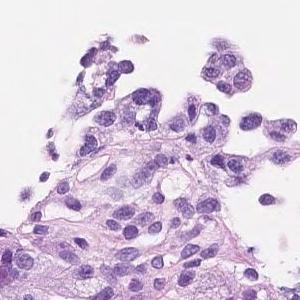
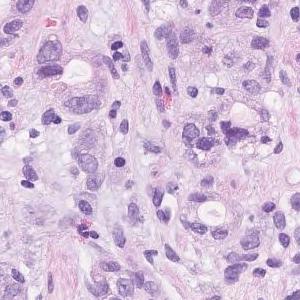
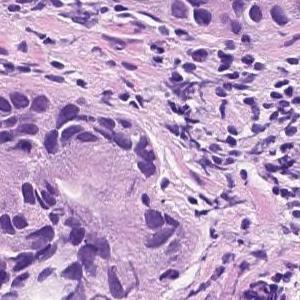
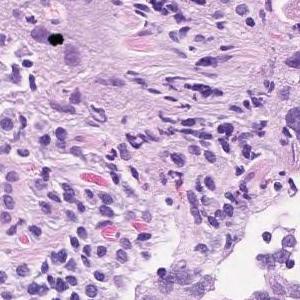
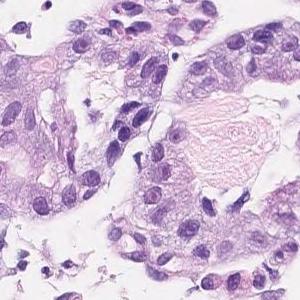
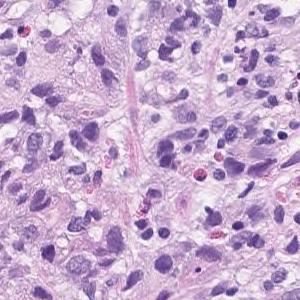
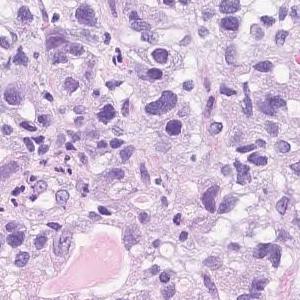
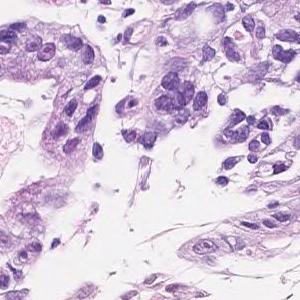
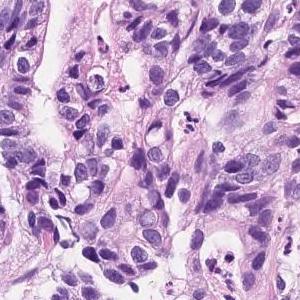
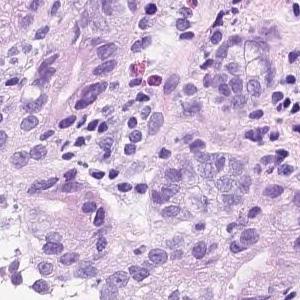
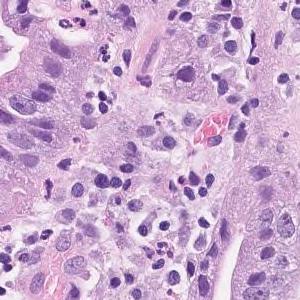
11 tiles cut from one stomach biopsy slide; hematoxylin and eosin stain; 20× magnification.
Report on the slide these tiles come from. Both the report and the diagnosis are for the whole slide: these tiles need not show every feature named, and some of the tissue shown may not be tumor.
In the superficial epithelium, tumor tissue that invades by forming medium-sized to small, irregular ducts is observed. Moderately to poorly differentiated adenocarcinoma
